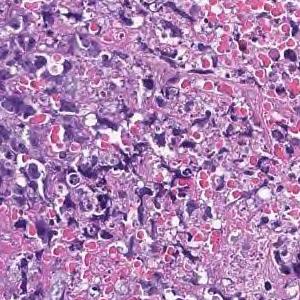
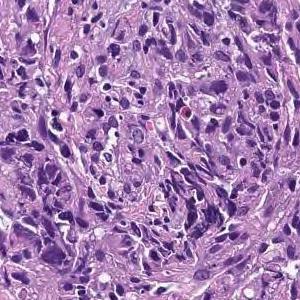
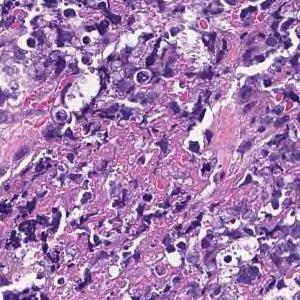
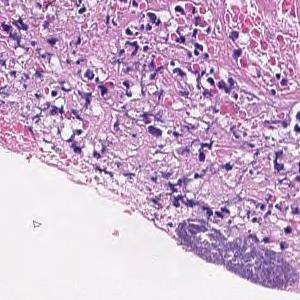
4 image tiles from a single gastric biopsy slide · 300×300 px each · ×20.
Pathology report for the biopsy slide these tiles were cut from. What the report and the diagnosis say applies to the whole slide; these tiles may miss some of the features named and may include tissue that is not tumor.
Most are composed of coagulative necrotic tissue, but some show a large sheet-like shape, and some show tumor tissue infiltrating with a small cord-like structure. Poorly differentiated adenocarcinoma, solid-type
Tumor subtype: poorly differentiated adenocarcinoma, solid type (Japanese Classification of Gastric Carcinoma). The WHO 2019 equivalent is tubular adenocarcinoma, poorly differentiated.
